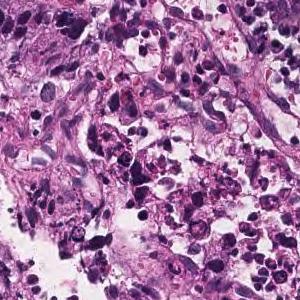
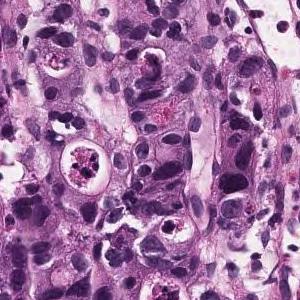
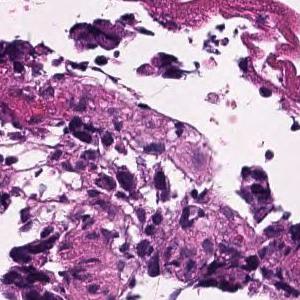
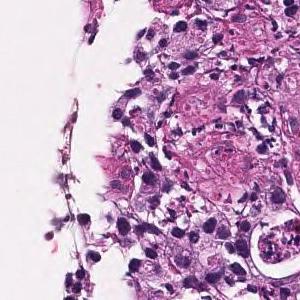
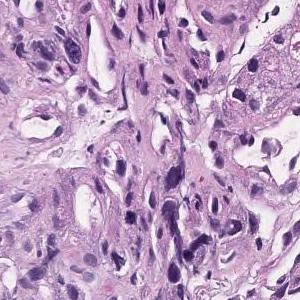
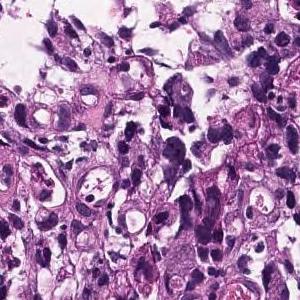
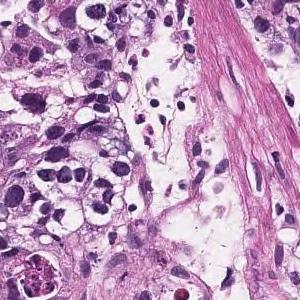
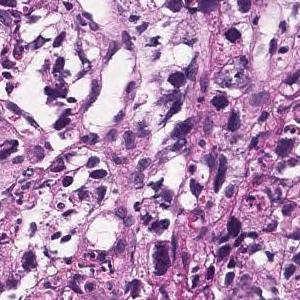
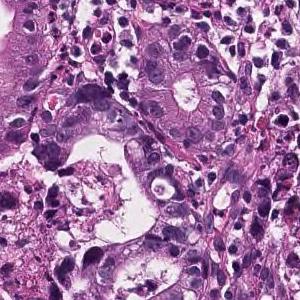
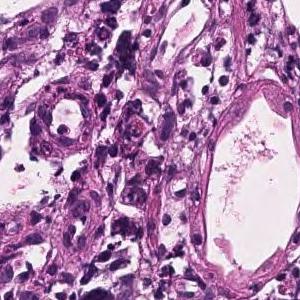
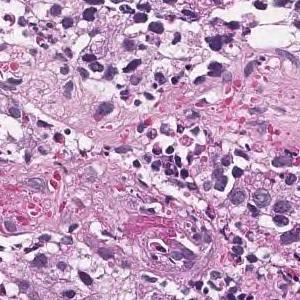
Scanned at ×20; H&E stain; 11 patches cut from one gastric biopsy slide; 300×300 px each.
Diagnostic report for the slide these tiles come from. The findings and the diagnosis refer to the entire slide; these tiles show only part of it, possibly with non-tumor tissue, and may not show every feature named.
Tumor tissue consisting of medium-sized, cord-like or irregular glandular infiltration is observed in the superficial epithelium. Poorly differentiated adenocarcinoma, non-solid type or moderately differentiated tubular adenocarcinoma
The non-solid type named here is a Japanese Classification of Gastric Carcinoma category.
